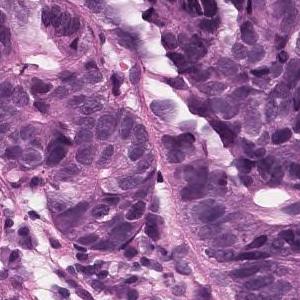
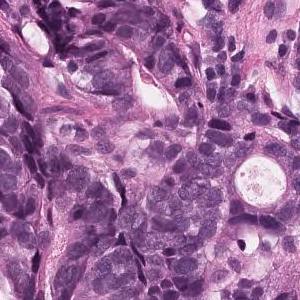
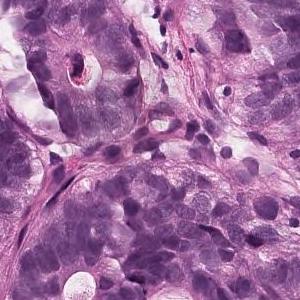
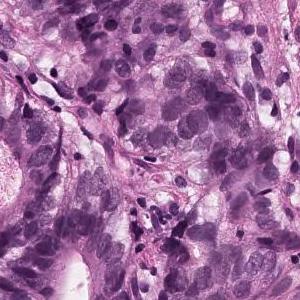
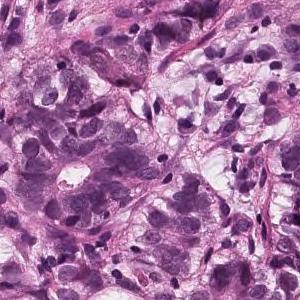
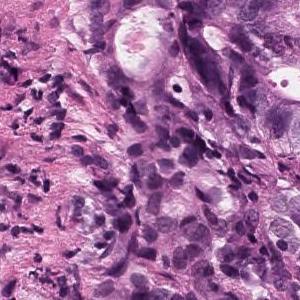
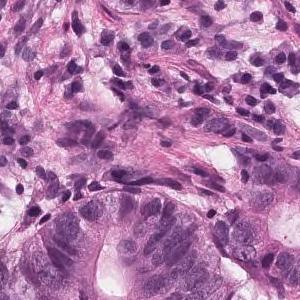
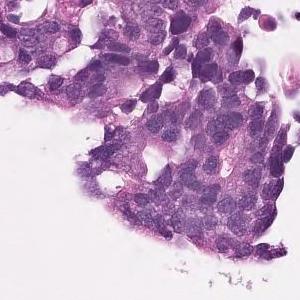
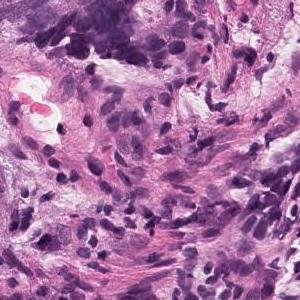
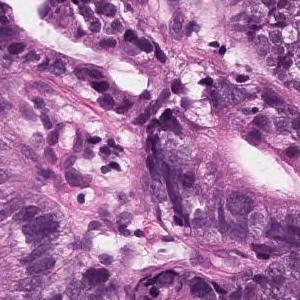
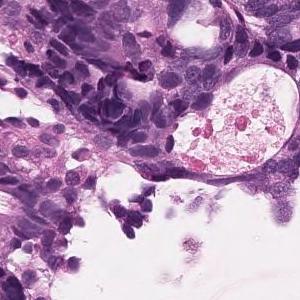
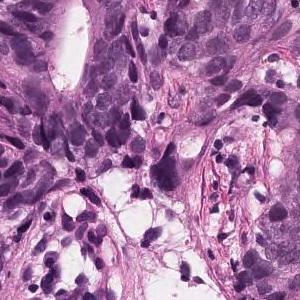
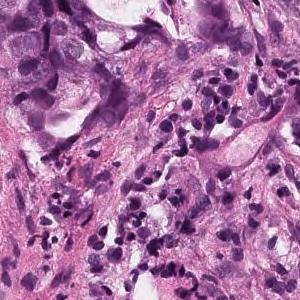
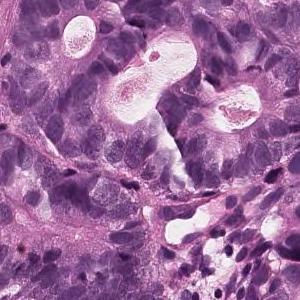
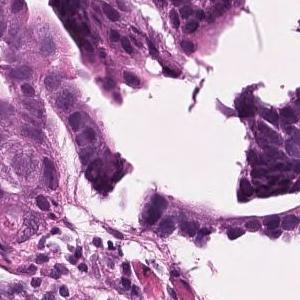
H&E · ×20 · 15 patches cut from one gastric biopsy slide · each 300 × 300 pixels.
Report on the slide these tiles come from. The report and the diagnosis cover the entire slide, so not every feature they name need be visible here, and some tissue shown may not be tumor.
On the superficial epithelium, tumor tissue consisting of large, irregular glandular ducts partially fused and infiltrated is observed. Well to moderately differentiated tubular adenocarcinoma (well differentiated tubular adenocarcinoma, moderately differentiated tubular adenocarcinoma)
Subtype: Well to moderately differentiated tubular adenocarcinoma.
